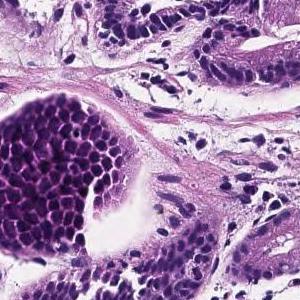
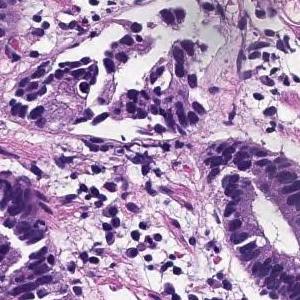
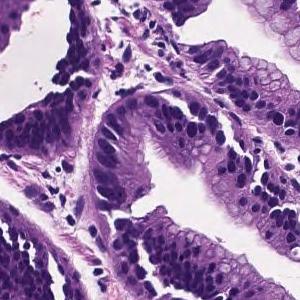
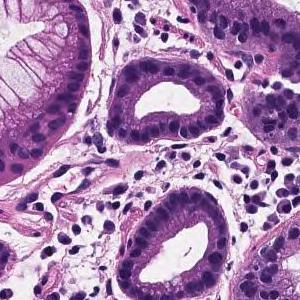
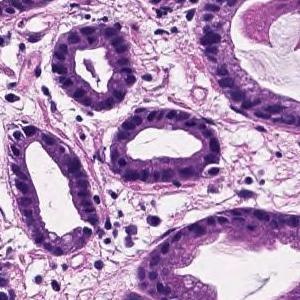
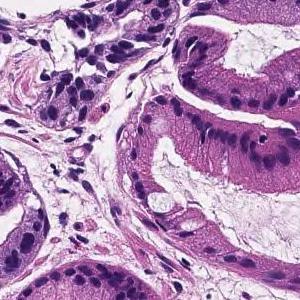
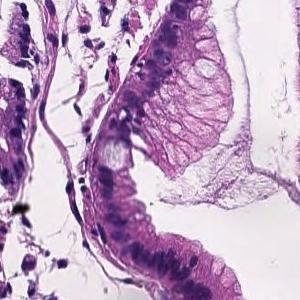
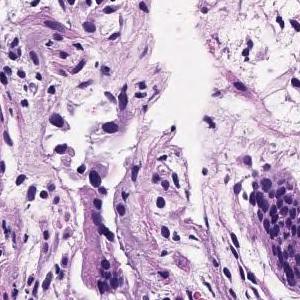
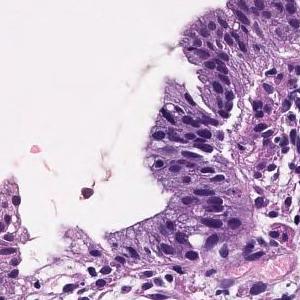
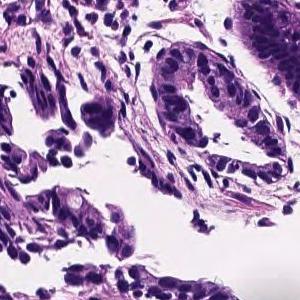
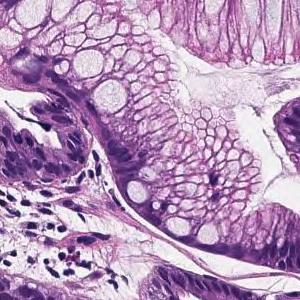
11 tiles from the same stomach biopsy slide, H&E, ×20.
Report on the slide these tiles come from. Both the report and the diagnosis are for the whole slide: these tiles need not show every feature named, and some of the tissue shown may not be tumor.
Tumor cells are large, highly columnar, large club-shaped nuclei, and are associated with chromatin aggregation. Papillary adenocarcinoma.
